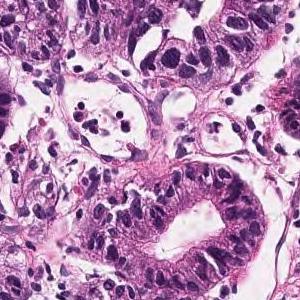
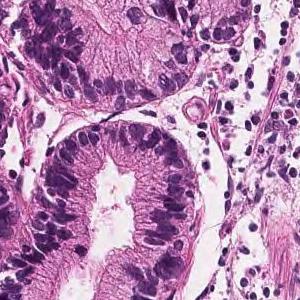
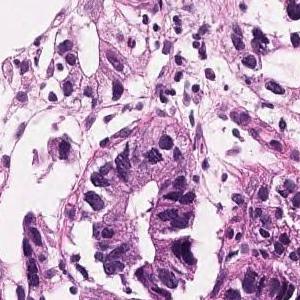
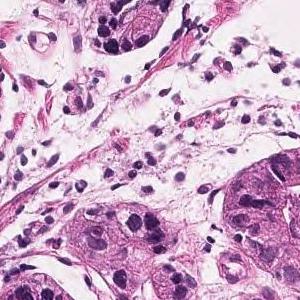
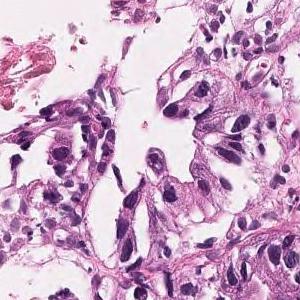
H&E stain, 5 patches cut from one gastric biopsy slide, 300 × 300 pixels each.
Pathology report for the biopsy slide these tiles were cut from. What the report and the diagnosis say applies to the whole slide; these tiles may miss some of the features named and may include tissue that is not tumor.
On the superficial epithelium, tumor tissue that infiltrates by forming medium-sized papillary or small irregular ducts is observed. Papillary adenocarcinoma
